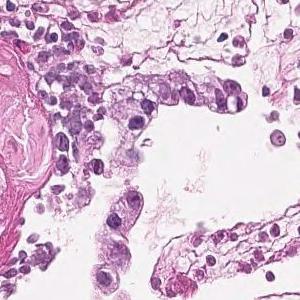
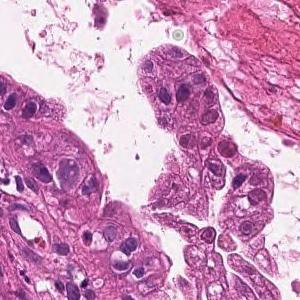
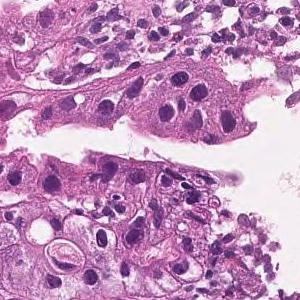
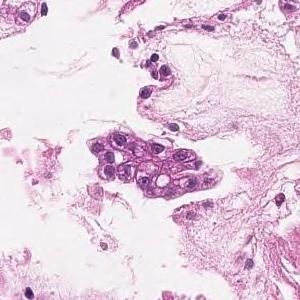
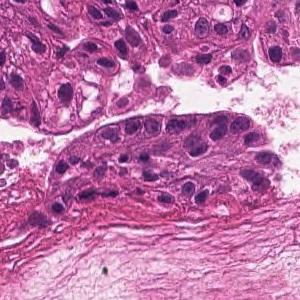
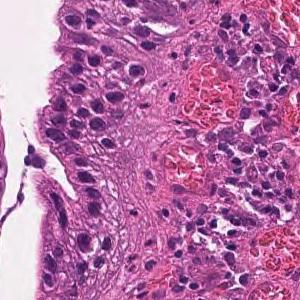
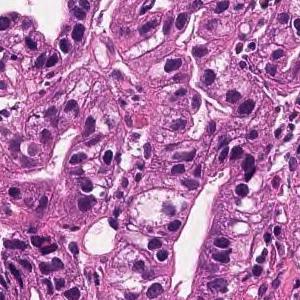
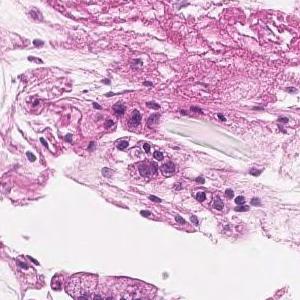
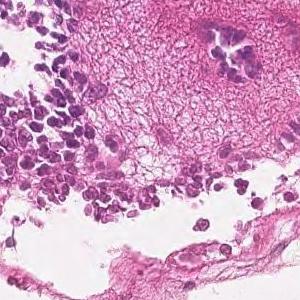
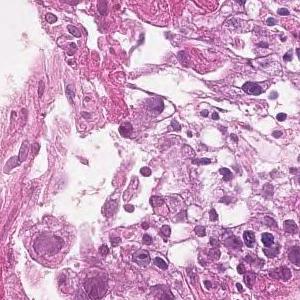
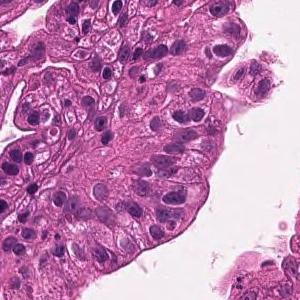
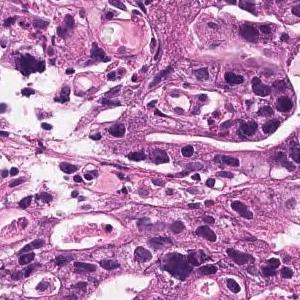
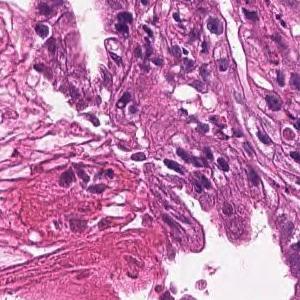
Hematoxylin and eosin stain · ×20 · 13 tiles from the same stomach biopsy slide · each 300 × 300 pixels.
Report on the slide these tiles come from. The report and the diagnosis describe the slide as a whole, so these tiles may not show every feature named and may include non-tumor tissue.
Tumor cells are large, highly columnar, large club-shaped nuclei, and are associated with chromatin aggregation. Papillary adenocarcinoma.
